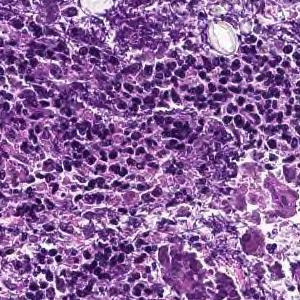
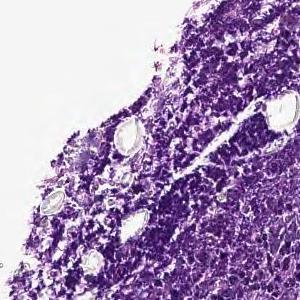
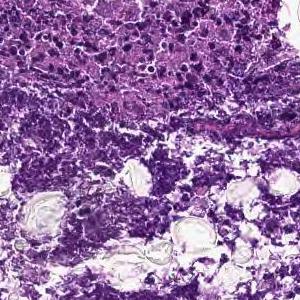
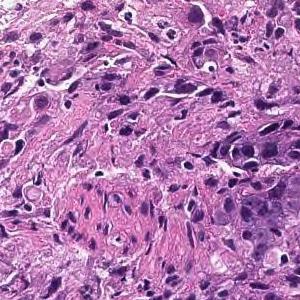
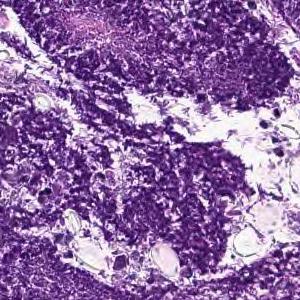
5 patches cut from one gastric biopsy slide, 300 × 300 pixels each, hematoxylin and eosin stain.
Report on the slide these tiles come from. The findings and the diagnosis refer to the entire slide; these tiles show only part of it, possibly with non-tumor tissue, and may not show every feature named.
Cancers with polygonal nuclei do not show glandular formation and are densely, in part, cord-like and proliferate. Poorly differentiated adenocarcinoma
Subtype: Poorly differentiated adenocarcinoma, non-solid type.
The non-solid type named here is a Japanese Classification of Gastric Carcinoma category.
